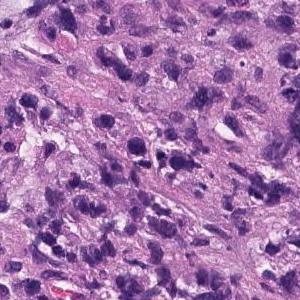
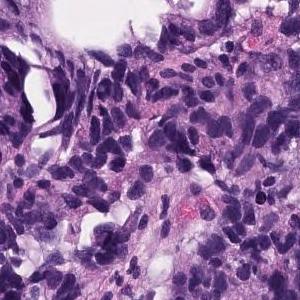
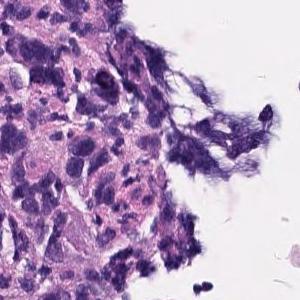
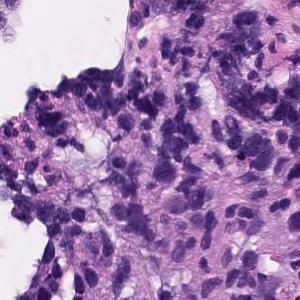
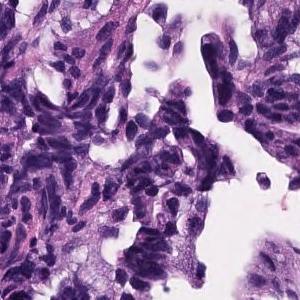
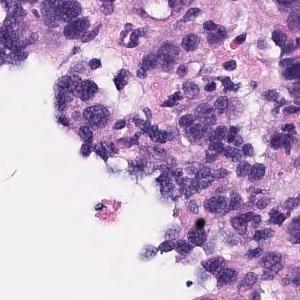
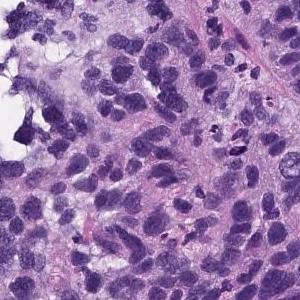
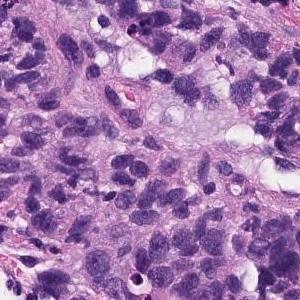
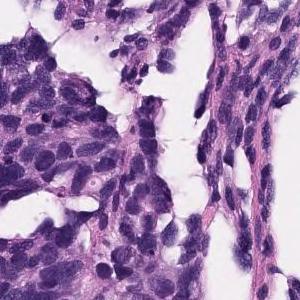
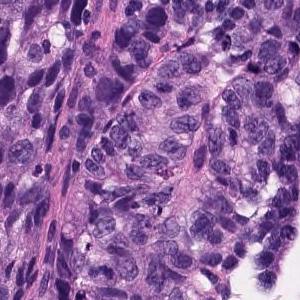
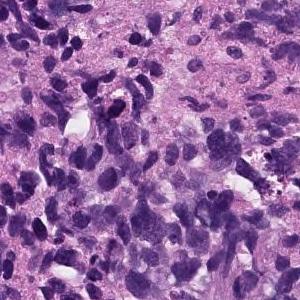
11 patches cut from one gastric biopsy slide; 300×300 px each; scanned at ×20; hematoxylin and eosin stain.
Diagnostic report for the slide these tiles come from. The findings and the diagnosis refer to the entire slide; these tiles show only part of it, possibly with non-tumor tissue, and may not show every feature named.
Atypical l cells with atypical nuclei under the mucosa growing in isolation and scattered. Poorly differentiated adenocarcinoma (poorly differentiated adenocarcinoma, non-solid type)
Classified as poorly differentiated adenocarcinoma, non-solid type.
The term "non-solid type" comes from the Japanese Classification of Gastric Carcinoma.
